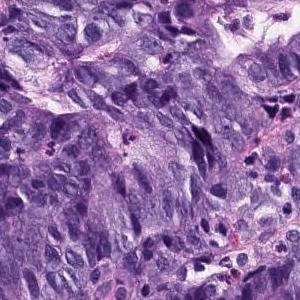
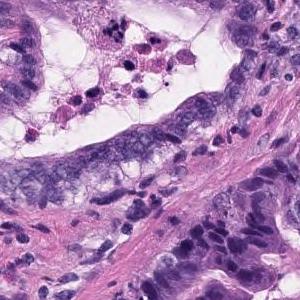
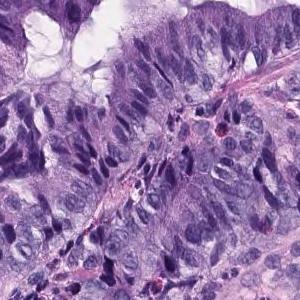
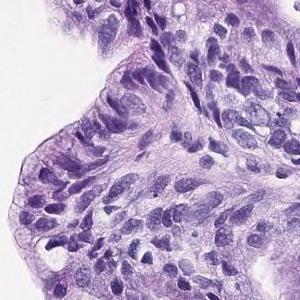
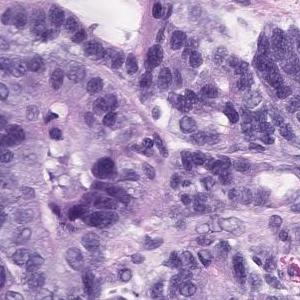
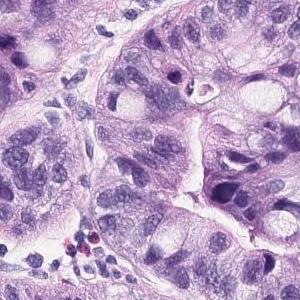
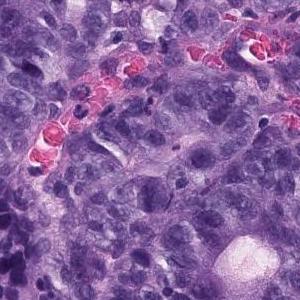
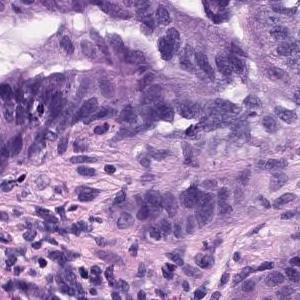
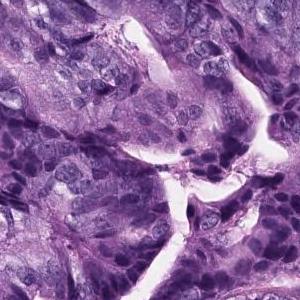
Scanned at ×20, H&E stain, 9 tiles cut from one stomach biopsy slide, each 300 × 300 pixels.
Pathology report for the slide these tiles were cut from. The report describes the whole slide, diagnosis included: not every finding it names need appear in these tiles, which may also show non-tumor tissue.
In the superficial epithelium, tumor tissue that invades by forming medium-sized to small, irregular ducts is observed. Well to moderately differentiated tubular adenocarcinoma.
